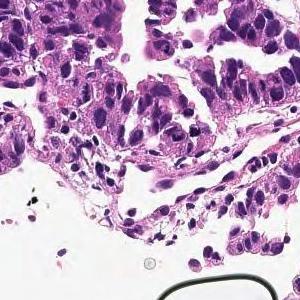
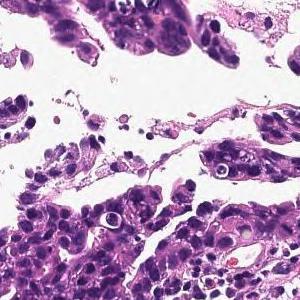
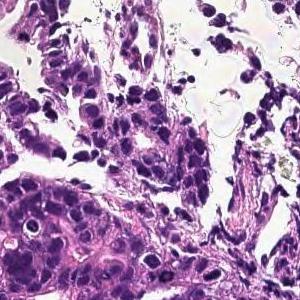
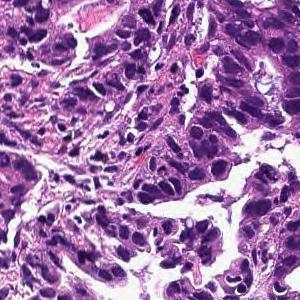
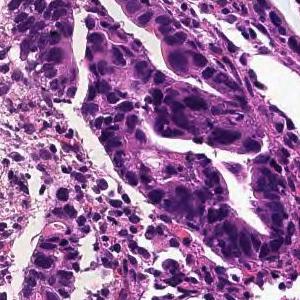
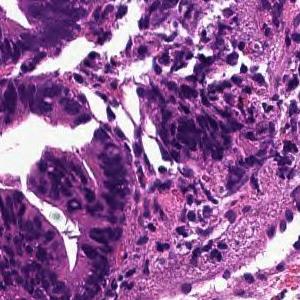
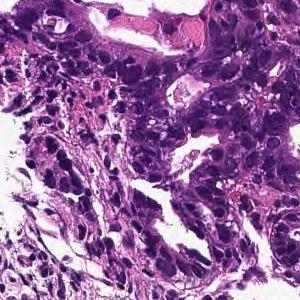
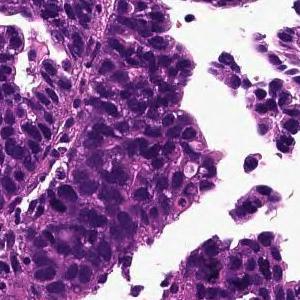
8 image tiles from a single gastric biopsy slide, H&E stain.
Pathology report for the slide these tiles were cut from. The report and the diagnosis describe the slide as a whole, so these tiles may not show every feature named and may include non-tumor tissue.
In the superficial epithelium, tumor tissue that invades by forming medium-sized to small, irregular ducts is observed. moderately differentiated tubular adenocarcinoma.
